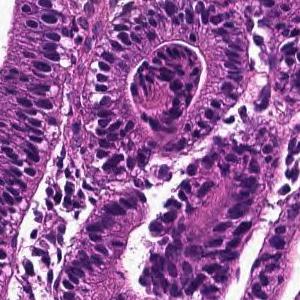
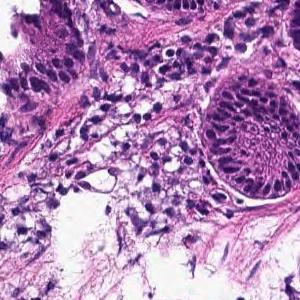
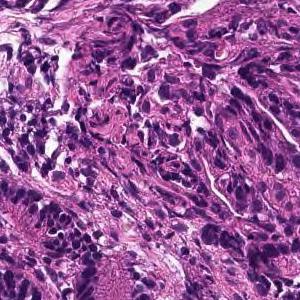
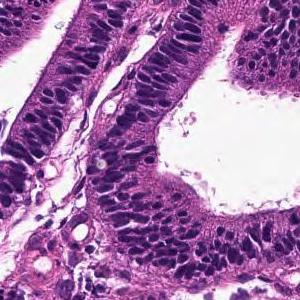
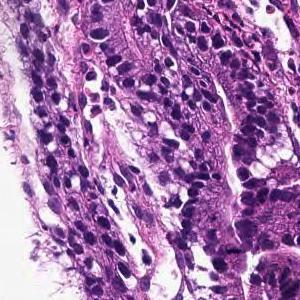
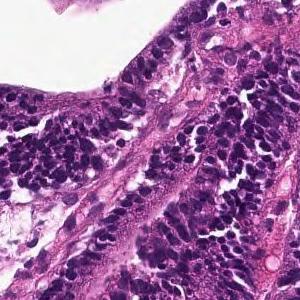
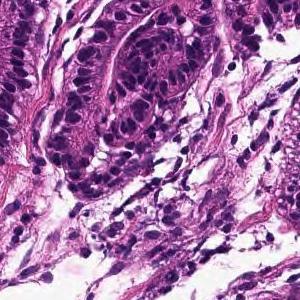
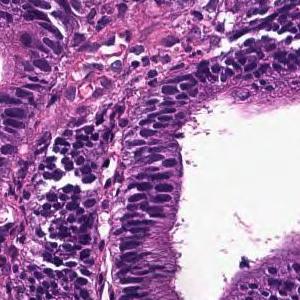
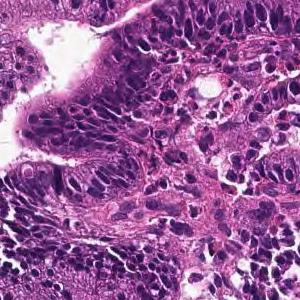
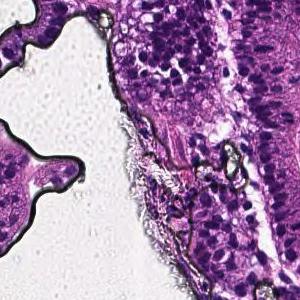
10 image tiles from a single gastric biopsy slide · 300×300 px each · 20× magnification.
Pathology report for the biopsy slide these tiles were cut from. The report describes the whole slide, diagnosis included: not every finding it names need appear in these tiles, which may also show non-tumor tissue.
On the superficial epithelium, tumor tissue that infiltrates by forming medium-sized round or small irregular ducts is observed. Papillary adenocarcinoma
